12 tiles cut from one stomach biopsy slide; hematoxylin and eosin stain.
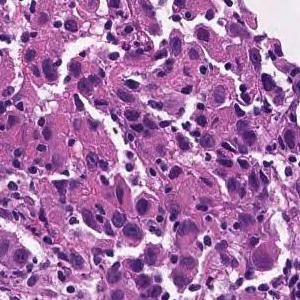
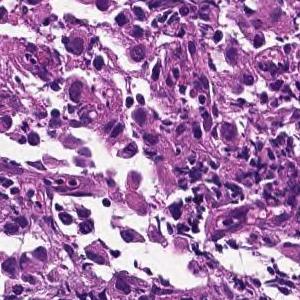
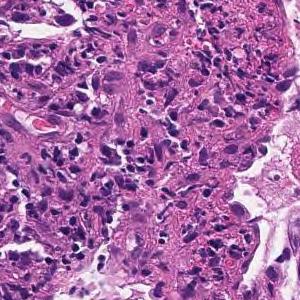
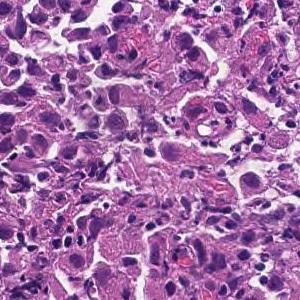
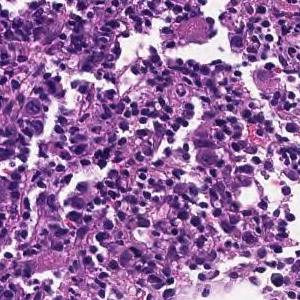
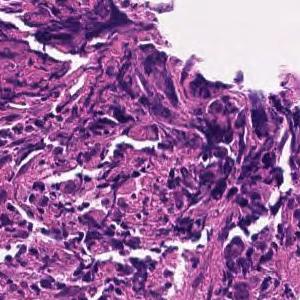
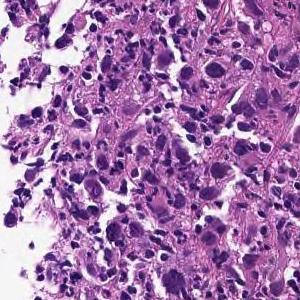
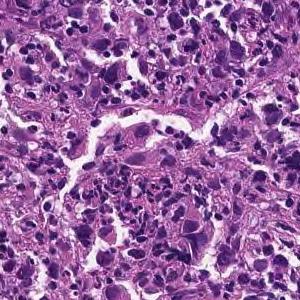
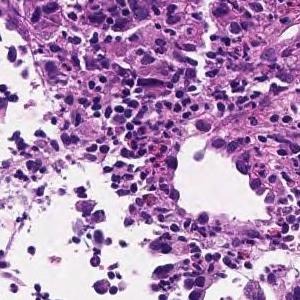
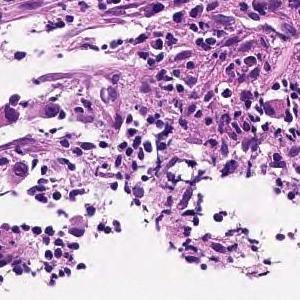
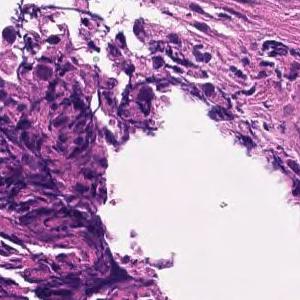
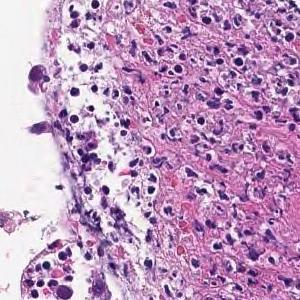
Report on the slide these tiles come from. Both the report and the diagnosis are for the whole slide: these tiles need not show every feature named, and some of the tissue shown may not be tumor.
The superficial epithelium shows a large sheet-like shape, and some tumor tissue infiltrates with small irregular ducts. Poorly differentiated adenocarcinoma, solid-type (poorly differentiated adenocarcinoma, solid type)
Tumor subtype: poorly differentiated adenocarcinoma, solid type. This name comes from the Japanese Classification of Gastric Carcinoma; the WHO 2019 classification calls it tubular adenocarcinoma, poorly differentiated.
